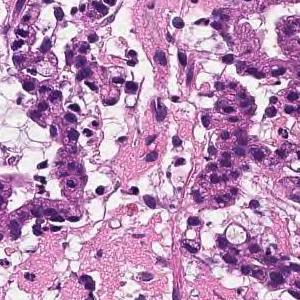
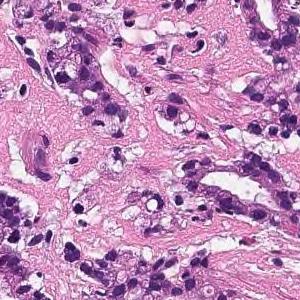
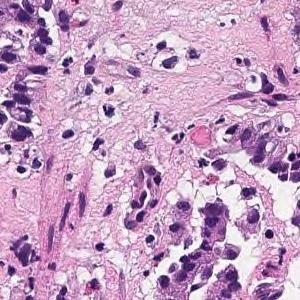
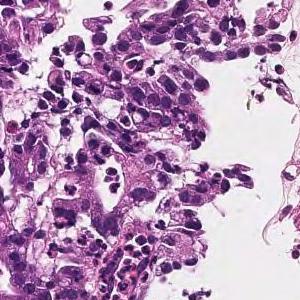
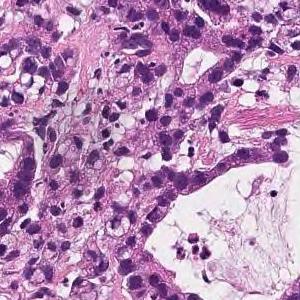
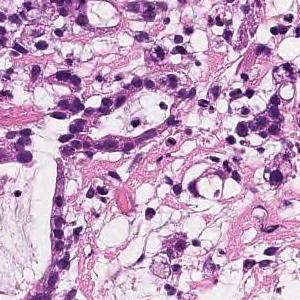
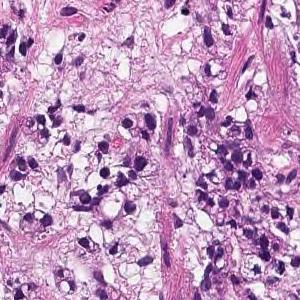
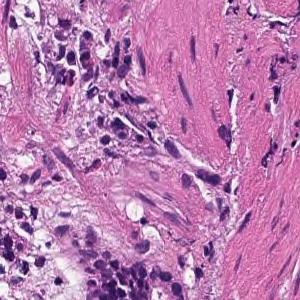
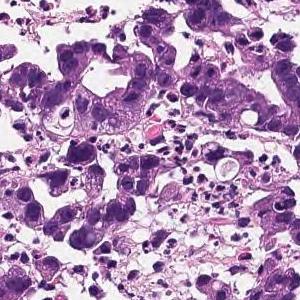
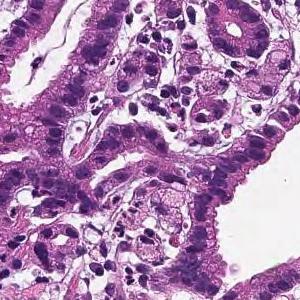
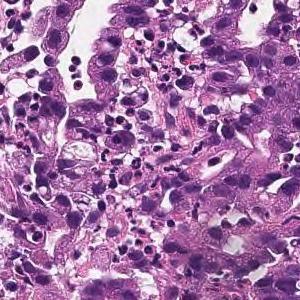
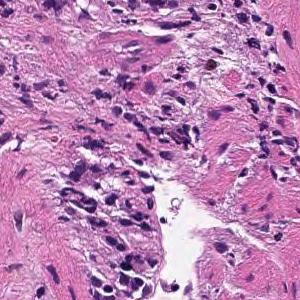
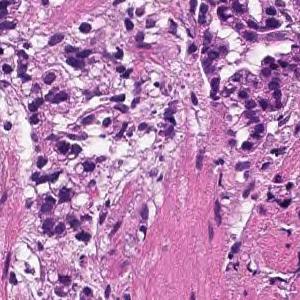
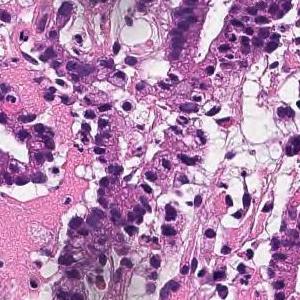
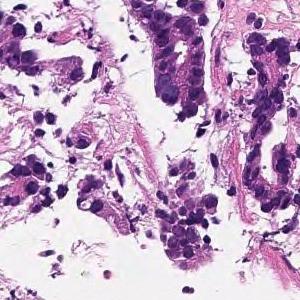
15 patches cut from one gastric biopsy slide · each 300 × 300 pixels · H&E · 20× magnification.
Pathology report for the biopsy slide these tiles were cut from. What the report and the diagnosis say applies to the whole slide; these tiles may miss some of the features named and may include tissue that is not tumor.
In the superficial epithelium, tumor tissue that invades by forming medium-sized to small, irregular ducts is observed. moderately differentiated tubular adenocarcinoma.
